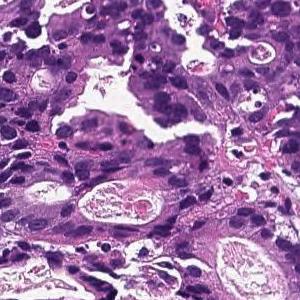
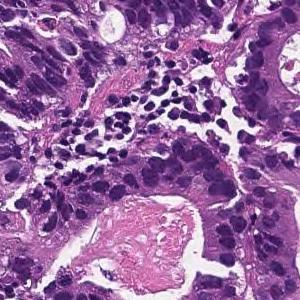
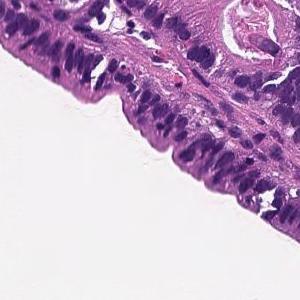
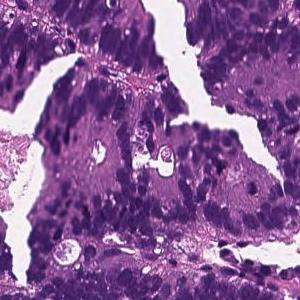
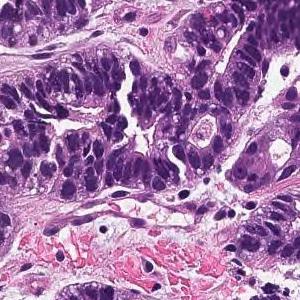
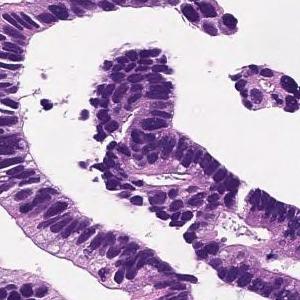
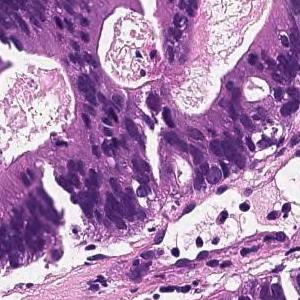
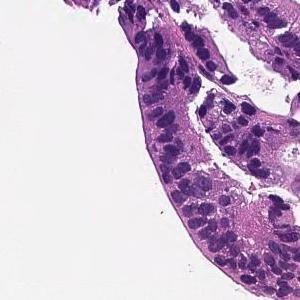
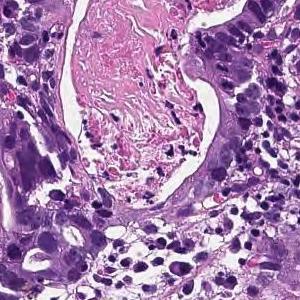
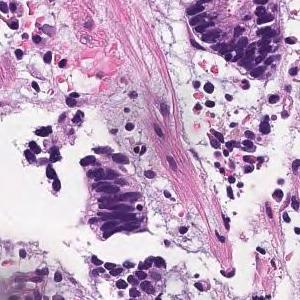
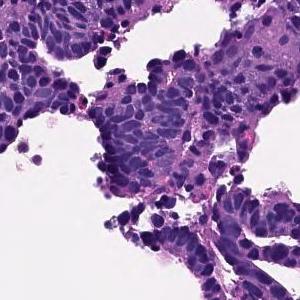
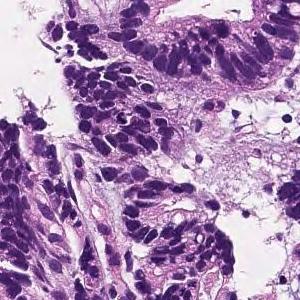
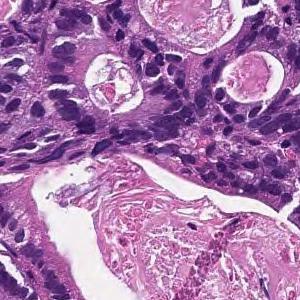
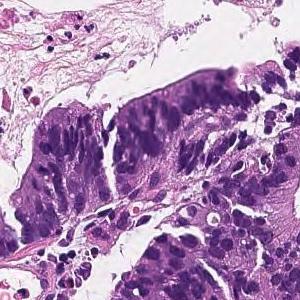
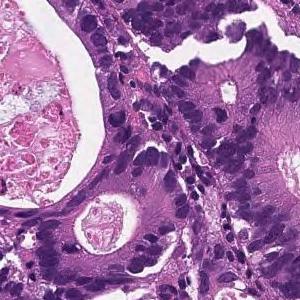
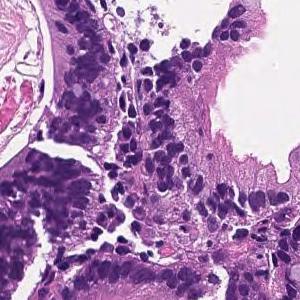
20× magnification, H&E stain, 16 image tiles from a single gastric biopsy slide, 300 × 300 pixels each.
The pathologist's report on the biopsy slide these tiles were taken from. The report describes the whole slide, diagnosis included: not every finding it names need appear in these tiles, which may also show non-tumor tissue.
In the superficial epithelium, tumor tissue that invades by forming medium-sized to small, irregular ducts is observed. moderately differentiated tubular adenocarcinoma.
